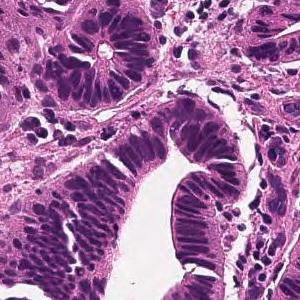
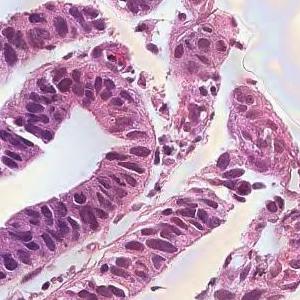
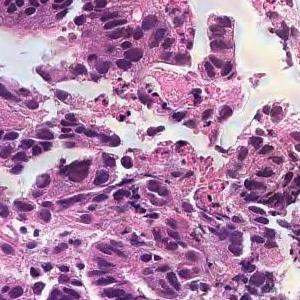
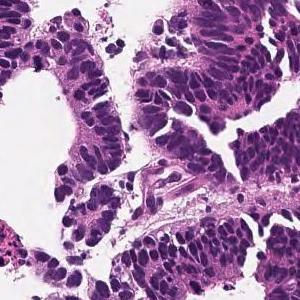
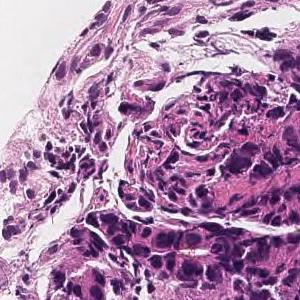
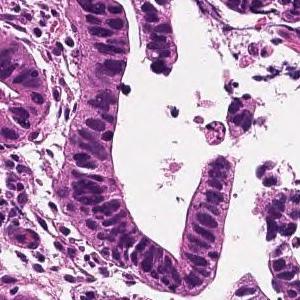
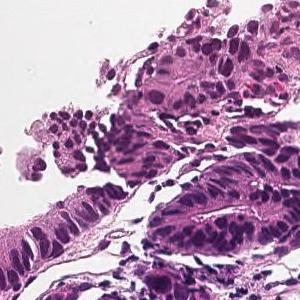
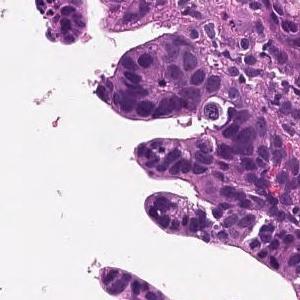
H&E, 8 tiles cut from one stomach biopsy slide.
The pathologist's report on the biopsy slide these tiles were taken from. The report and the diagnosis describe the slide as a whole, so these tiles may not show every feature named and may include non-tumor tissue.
From the superficial epithelium to the muscularis mucosae, tumor tissue consisting of medium-sized and irregular glandular ducts infiltrating is observed. Well differentiated tubular adenocarcinoma
